4 tiles from the same stomach biopsy slide; each 300 × 300 pixels; H&E.
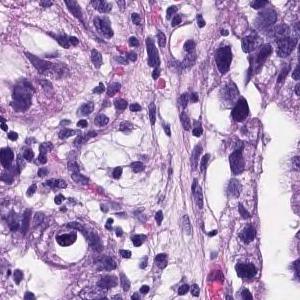
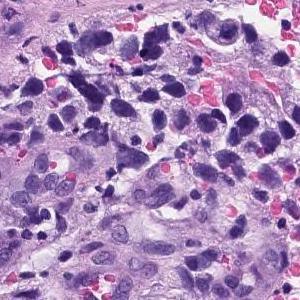
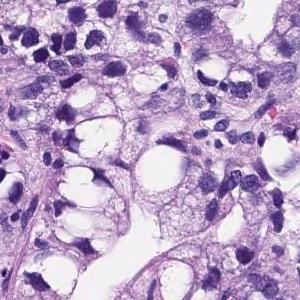
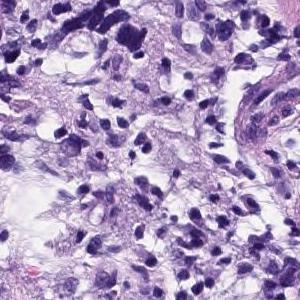
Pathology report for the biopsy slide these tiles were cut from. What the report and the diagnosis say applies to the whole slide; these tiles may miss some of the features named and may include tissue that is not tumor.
Medium to small, irregular glandular ducts are formed in the superficial epithelium, and in some cases, the glandular ducts are fused to show solid alveolar lesions and infiltrating tumor tissue is observed. Poorly differentiated adenocarcinoma, Moderately differentiated adenocarcinoma.
Dataset label: moderately differentiated tubular adenocarcinoma.
